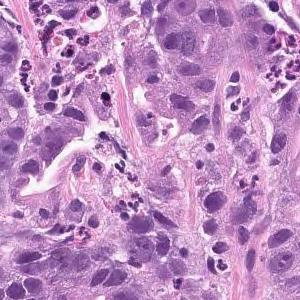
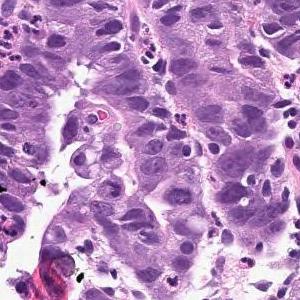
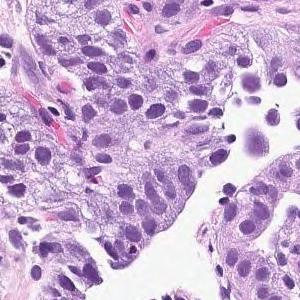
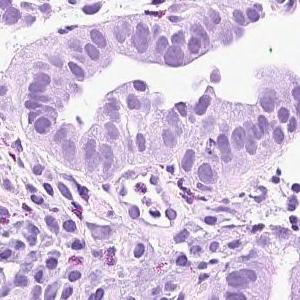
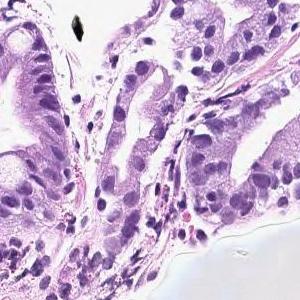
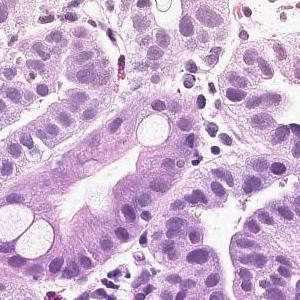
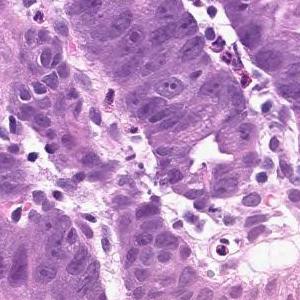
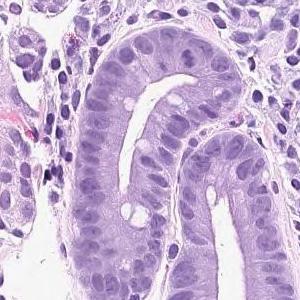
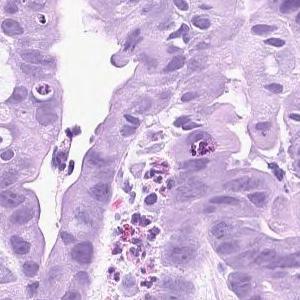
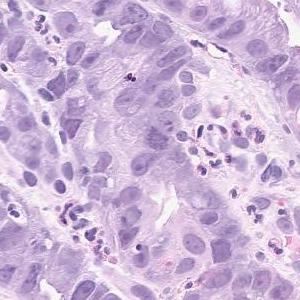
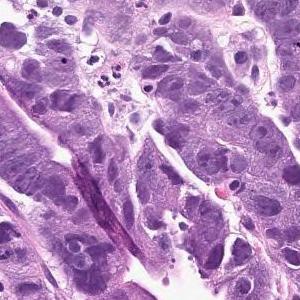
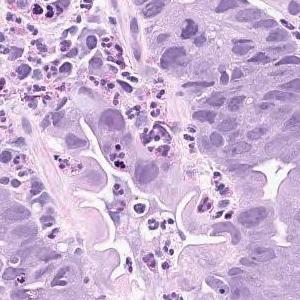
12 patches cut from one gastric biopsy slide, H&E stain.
The pathologist's report on the biopsy slide these tiles were taken from. The report and the diagnosis cover the entire slide, so not every feature they name need be visible here, and some tissue shown may not be tumor.
Infiltrating tumor tissue is observed in the superficial epithelium, showing large papillary structures or large and small ducts. Papillary adenocarcinoma
